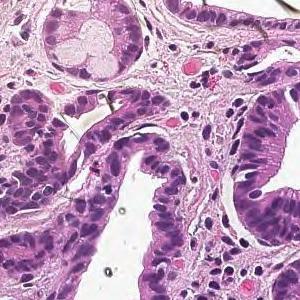
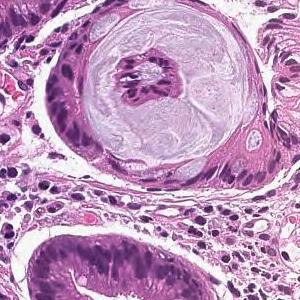
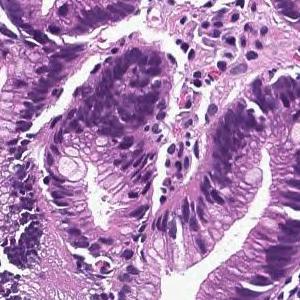
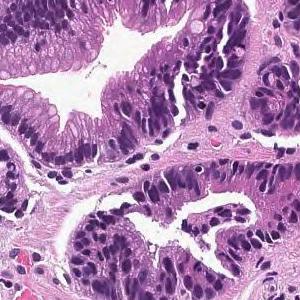
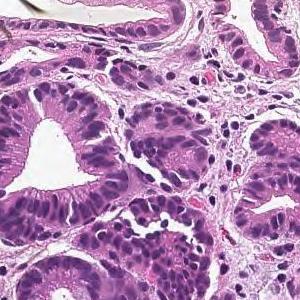
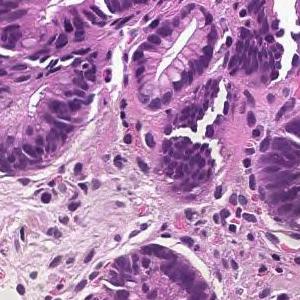
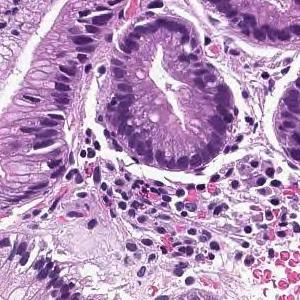
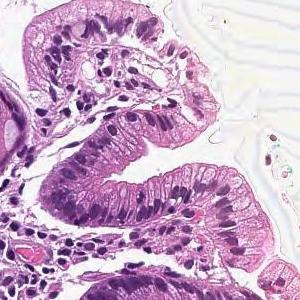
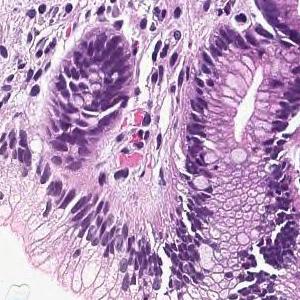
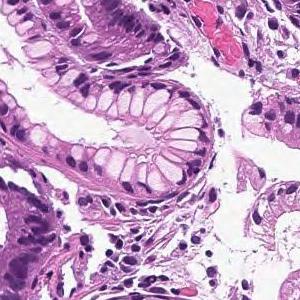
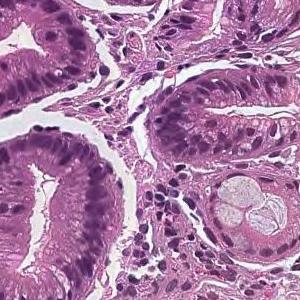
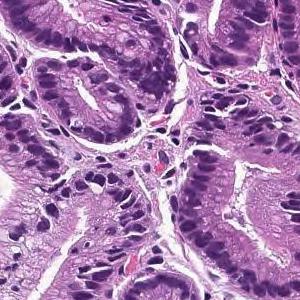
12 tiles from the same stomach biopsy slide; 300 × 300 pixels each; scanned at ×20; hematoxylin and eosin stain.
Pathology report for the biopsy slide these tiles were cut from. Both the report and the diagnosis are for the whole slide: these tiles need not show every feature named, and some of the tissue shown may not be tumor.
From the superficial epithelium to the muscularis mucosae, tumor tissue consisting of medium-sized and irregular glandular ducts infiltrating is observed. Well differentiated tubular adenocarcinoma
